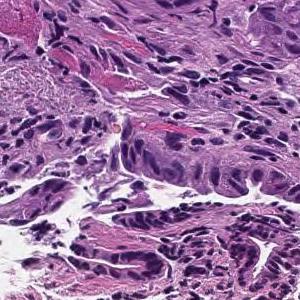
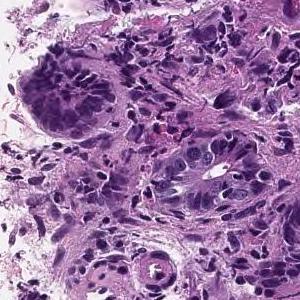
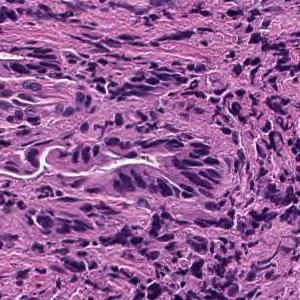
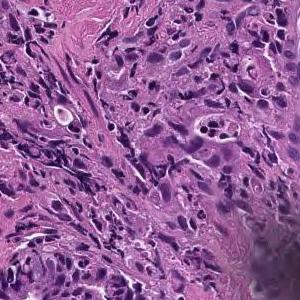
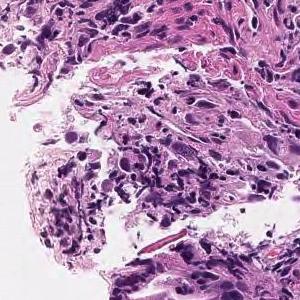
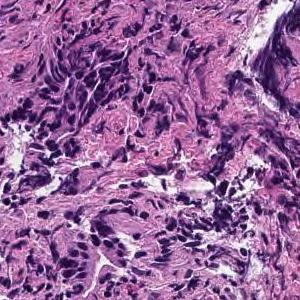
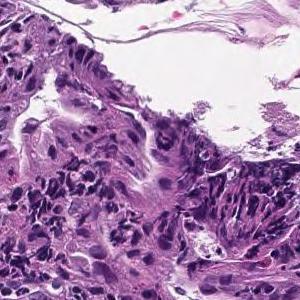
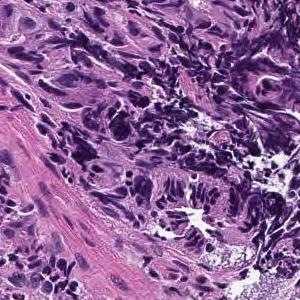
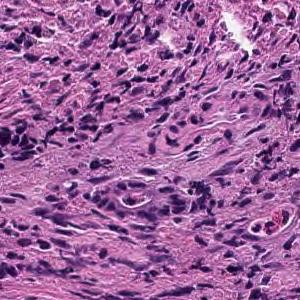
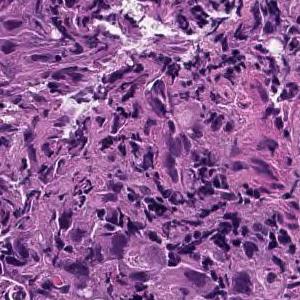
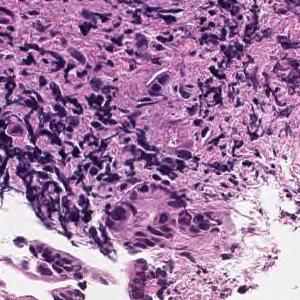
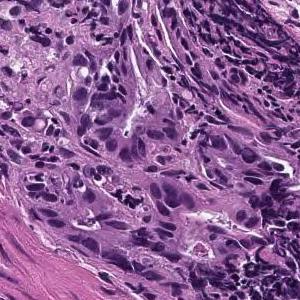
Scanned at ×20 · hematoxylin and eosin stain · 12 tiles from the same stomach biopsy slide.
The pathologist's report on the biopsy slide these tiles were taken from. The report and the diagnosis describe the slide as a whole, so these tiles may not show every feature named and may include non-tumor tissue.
On the superficial epithelium, tumor tissue consisting of large, irregular glandular ducts partially fused and infiltrated is observed. Well to moderately differentiated tubular adenocarcinoma (well differentiated tubular adenocarcinoma, moderately differentiated tubular adenocarcinoma)
Histologic type: Well to moderately differentiated tubular adenocarcinoma.
